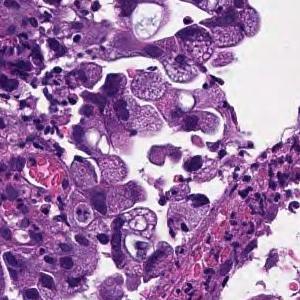
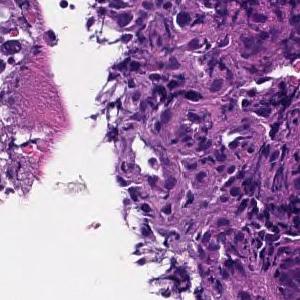
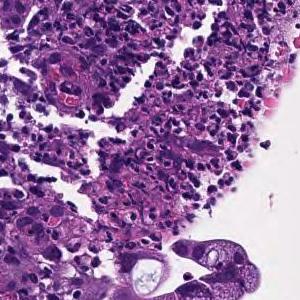
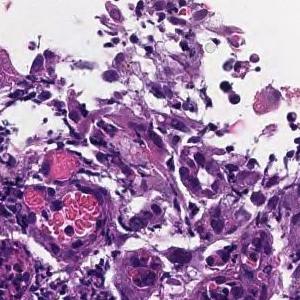
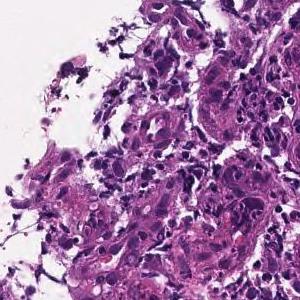
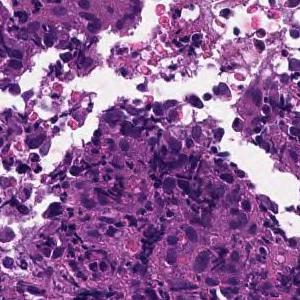
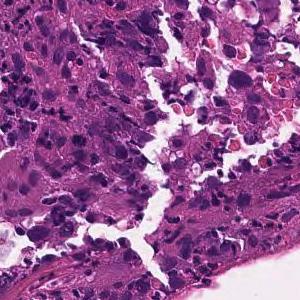
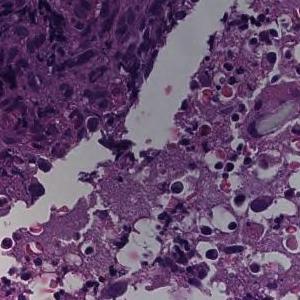
8 patches cut from one gastric biopsy slide; 20× magnification.
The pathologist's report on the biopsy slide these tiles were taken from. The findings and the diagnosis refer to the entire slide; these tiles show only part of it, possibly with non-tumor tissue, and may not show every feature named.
Tumor cells are medium to large, cuboidal, and have little tendency to differentiate. Poorly differentiated adenocarcinoma, solid-type  or moderately differentiated tubular adenocarcinoma
Dataset label: poorly differentiated adenocarcinoma, solid type (Japanese Classification of Gastric Carcinoma). The WHO 2019 equivalent is tubular adenocarcinoma, poorly differentiated.
